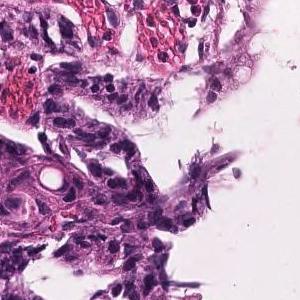
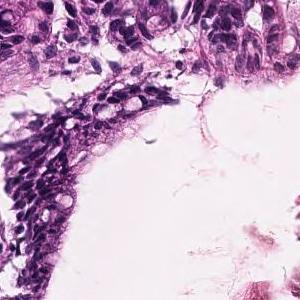
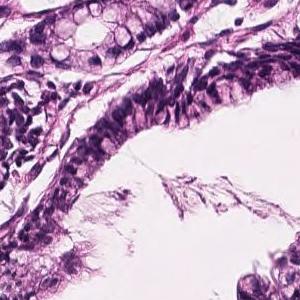
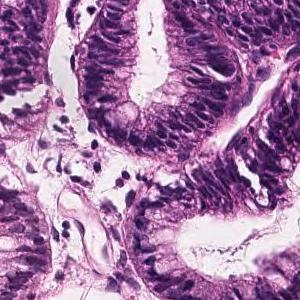
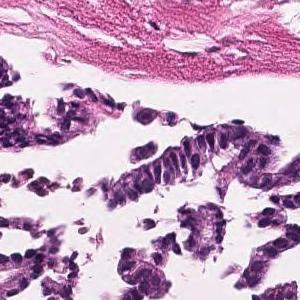
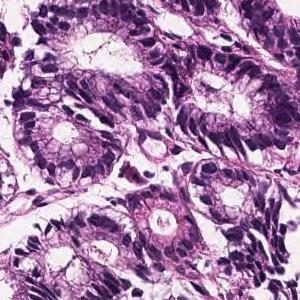
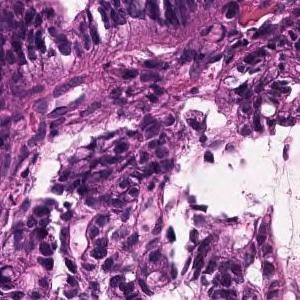
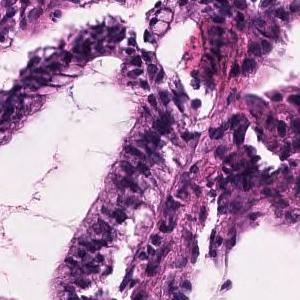
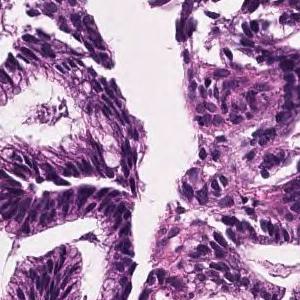
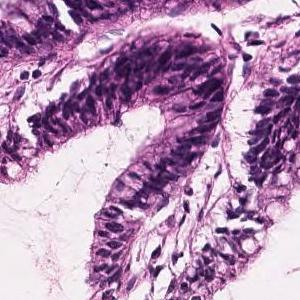
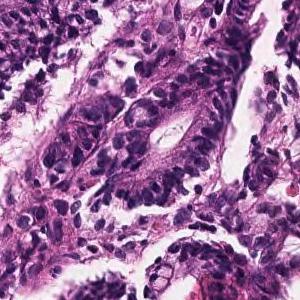
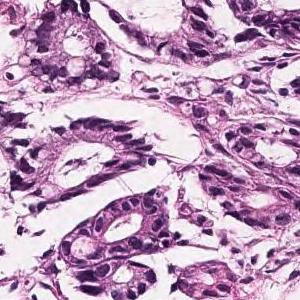
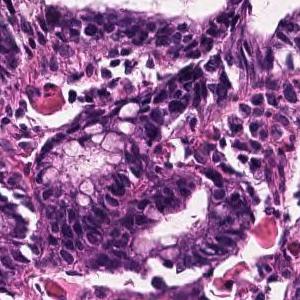
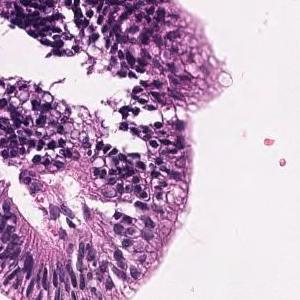
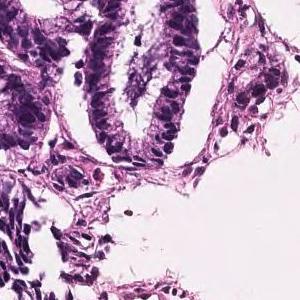
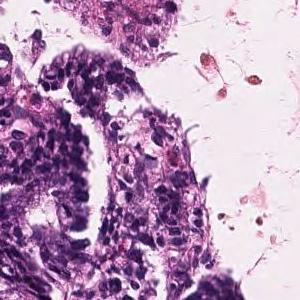
16 patches cut from one gastric biopsy slide, 20× magnification, H&E stain.
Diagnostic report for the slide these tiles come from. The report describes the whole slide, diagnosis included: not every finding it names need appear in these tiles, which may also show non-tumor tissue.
Cubic to columnar atypical epithelial cells proliferating showing papillary to papillary ductal structures is observed. Papillary adenocarcinoma.
